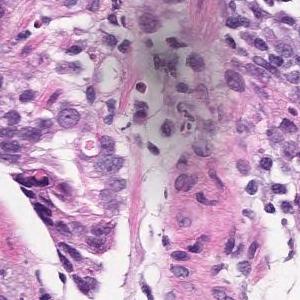
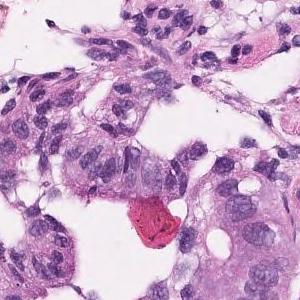
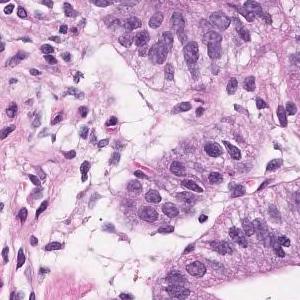
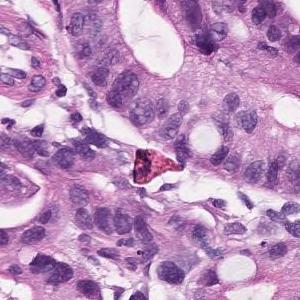
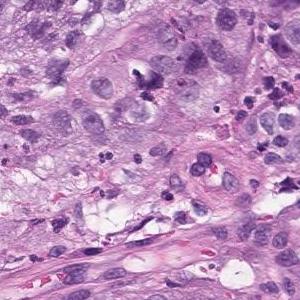
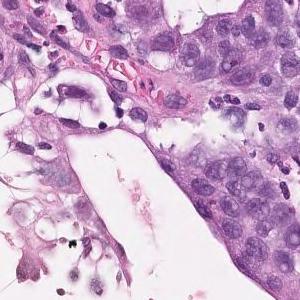
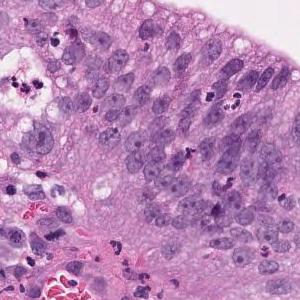
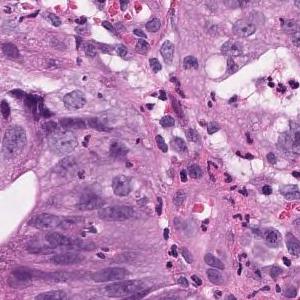
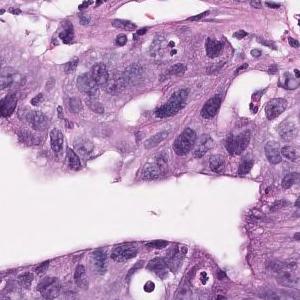
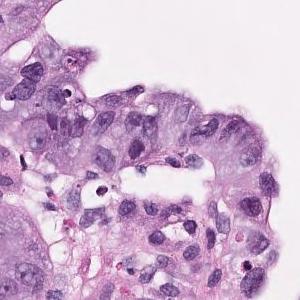
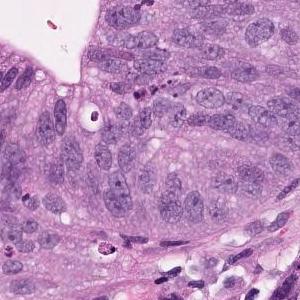
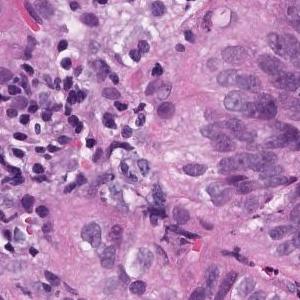
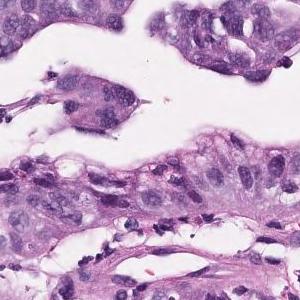
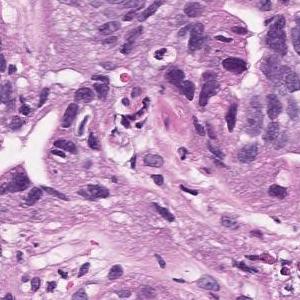
20× magnification, hematoxylin and eosin stain, 14 patches cut from one gastric biopsy slide, 300×300 px each.
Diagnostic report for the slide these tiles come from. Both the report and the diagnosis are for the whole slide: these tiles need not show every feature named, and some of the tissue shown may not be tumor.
On the superficial epithelium, tumor tissue consisting of medium to small irregular tubules partially fused and proliferated is observed. Well differentiated tubular adenocarcinoma
